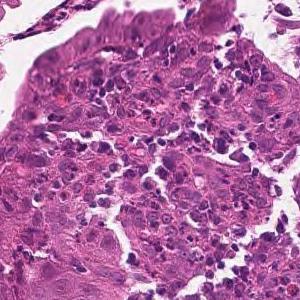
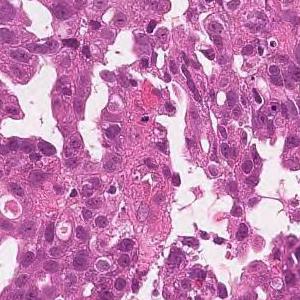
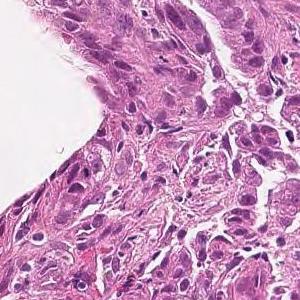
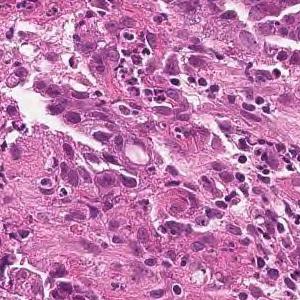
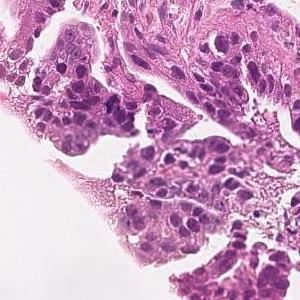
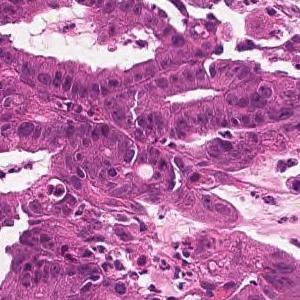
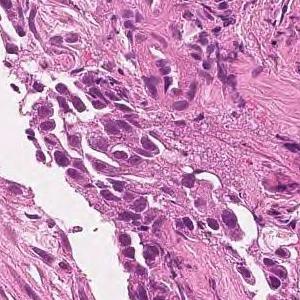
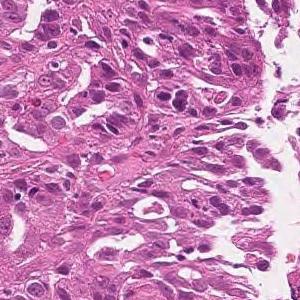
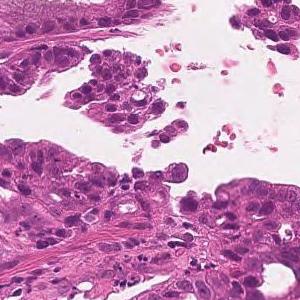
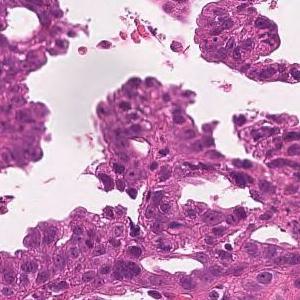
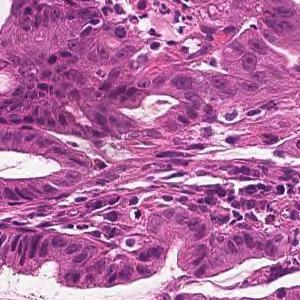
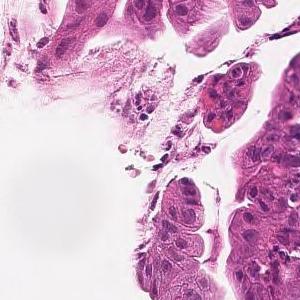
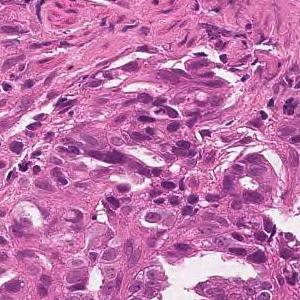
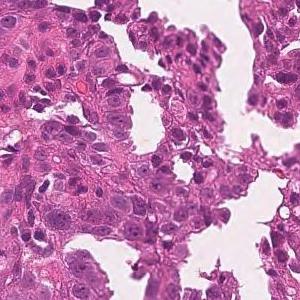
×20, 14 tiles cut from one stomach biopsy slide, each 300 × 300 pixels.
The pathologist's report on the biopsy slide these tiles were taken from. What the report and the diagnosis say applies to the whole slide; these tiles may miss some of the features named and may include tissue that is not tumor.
Tumor tissue consisting of large papillary structures is found in the superficial epithelium. Papillary adenocarcinoma.
